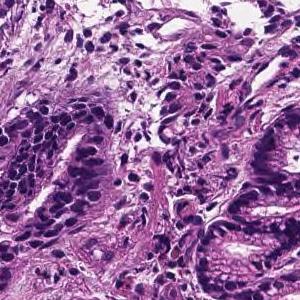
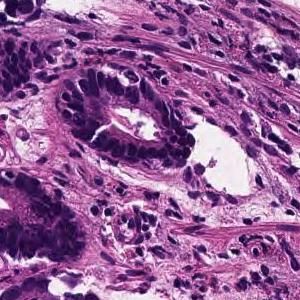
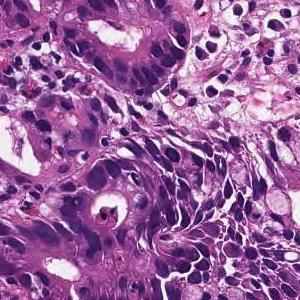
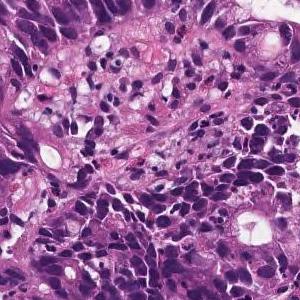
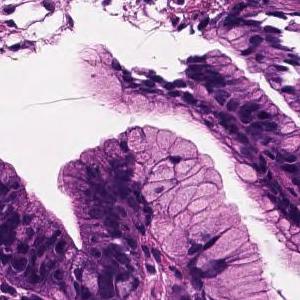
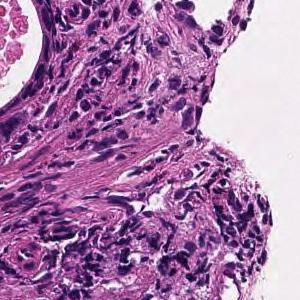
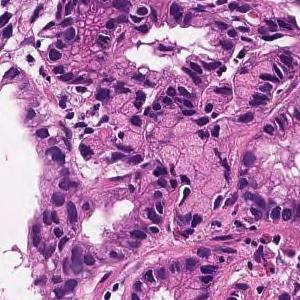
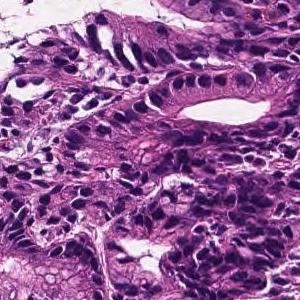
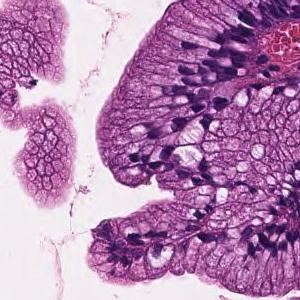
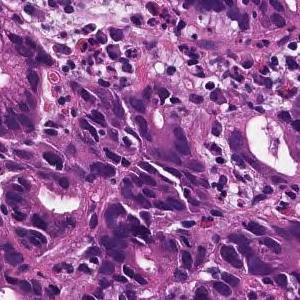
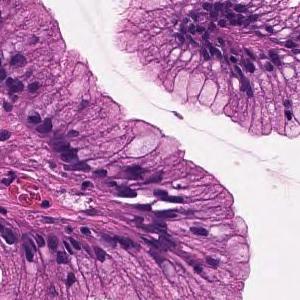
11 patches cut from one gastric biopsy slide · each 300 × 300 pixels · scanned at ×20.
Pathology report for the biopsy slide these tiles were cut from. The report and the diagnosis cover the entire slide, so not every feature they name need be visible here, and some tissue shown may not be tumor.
On the superficial epithelium, tumor tissue consisting of medium-sized and irregular glandular ducts partially fused and infiltrated is observed. Well to moderately differentiated tubular adenocarcinoma (well differentiated tubular adenocarcinoma-moderately differentiated tubular adenocarcinoma)
Classified as well to moderately differentiated tubular adenocarcinoma.
